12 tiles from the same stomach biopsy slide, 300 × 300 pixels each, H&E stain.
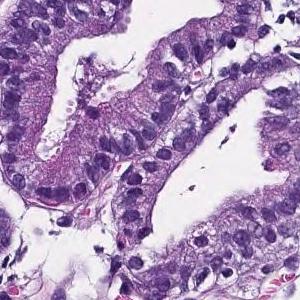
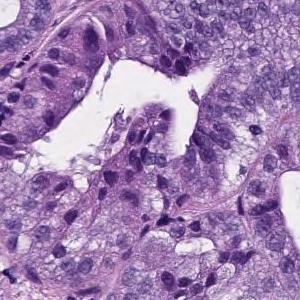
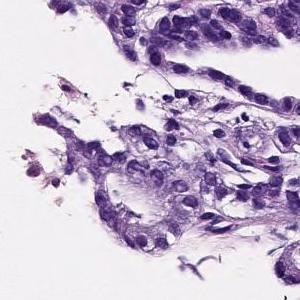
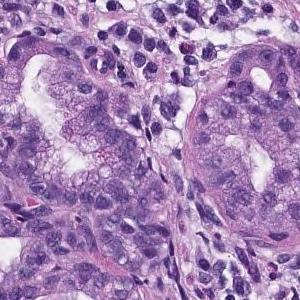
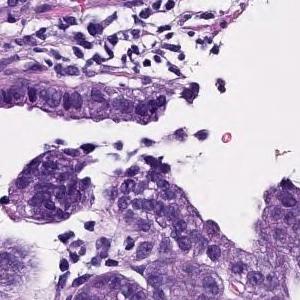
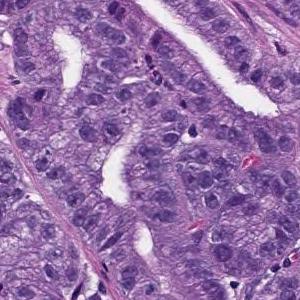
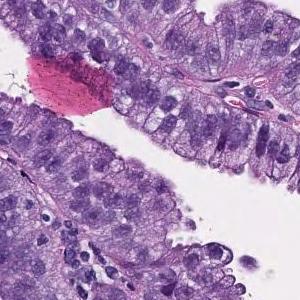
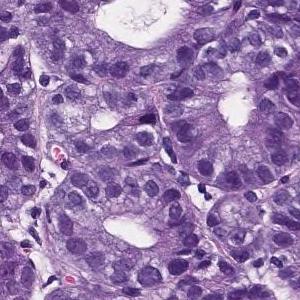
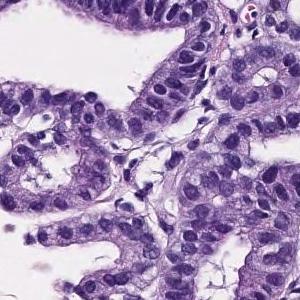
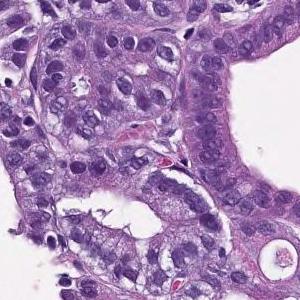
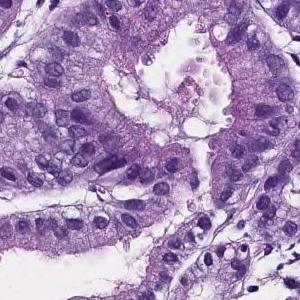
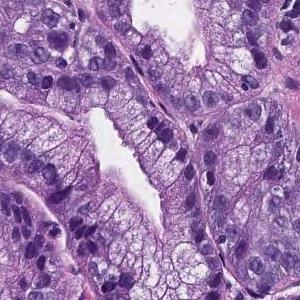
Pathology report for the slide these tiles were cut from. The report and the diagnosis cover the entire slide, so not every feature they name need be visible here, and some tissue shown may not be tumor.
On the superficial epithelium, tumor tissue that infiltrates by forming medium-sized papillary or small irregular ducts is observed. Papillary adenocarcinoma
